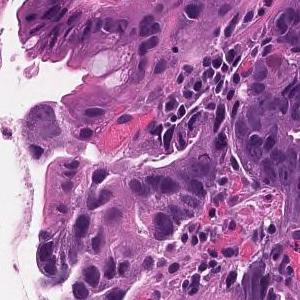
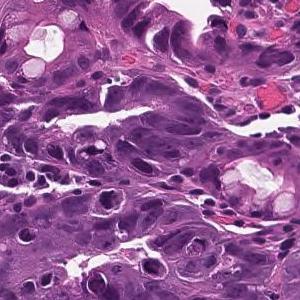
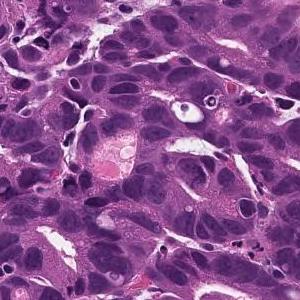
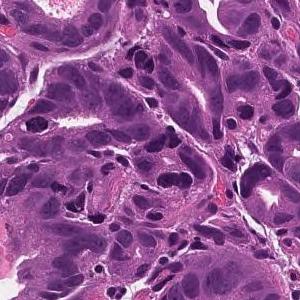
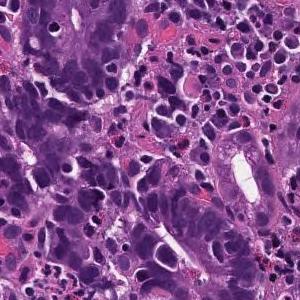
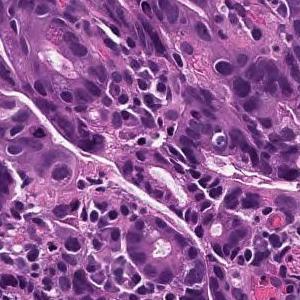
6 tiles cut from one stomach biopsy slide · 20× magnification.
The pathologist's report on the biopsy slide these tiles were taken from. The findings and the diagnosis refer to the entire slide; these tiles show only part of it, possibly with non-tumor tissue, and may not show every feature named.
On the superficial epithelium, tumor tissue is found in which medium-sized irregular gland ducts fuse with each other and infiltrate. moderately differentiated tubular adenocarcinoma
